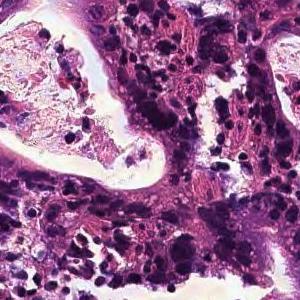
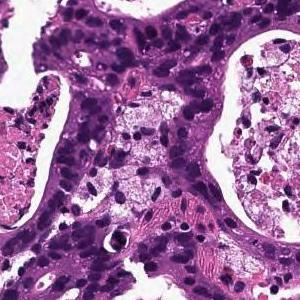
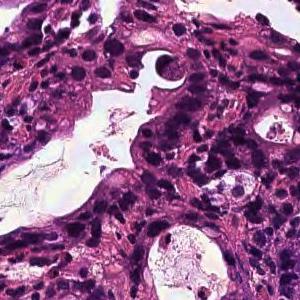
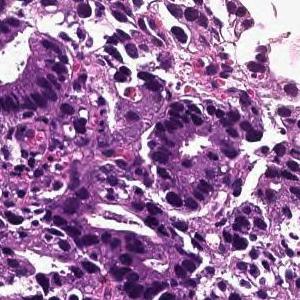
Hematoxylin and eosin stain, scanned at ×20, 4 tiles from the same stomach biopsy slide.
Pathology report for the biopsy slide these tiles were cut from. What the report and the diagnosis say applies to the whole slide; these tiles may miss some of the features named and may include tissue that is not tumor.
In the superficial epithelium, tumor tissue that invades by forming medium-sized to small, irregular ducts is observed. moderately differentiated tubular adenocarcinoma.
